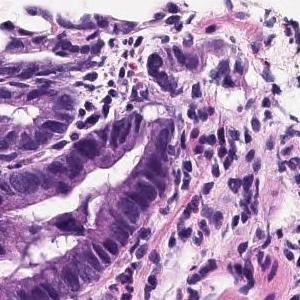
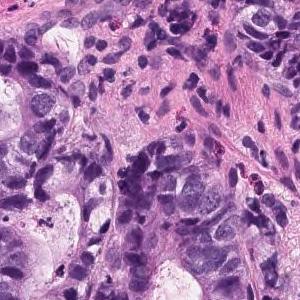
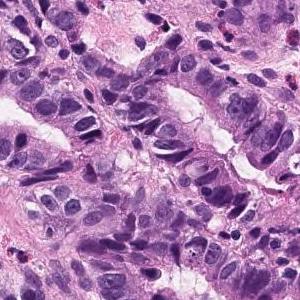
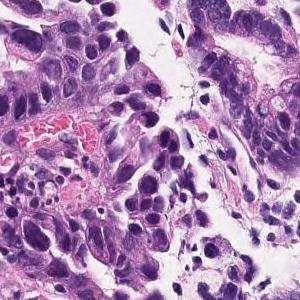
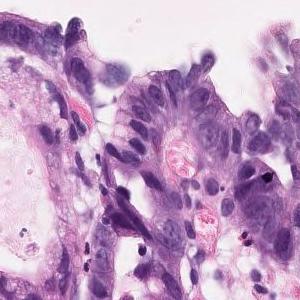
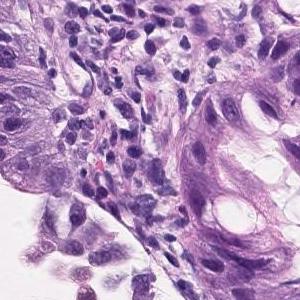
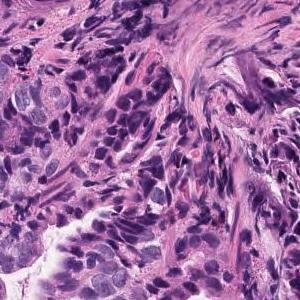
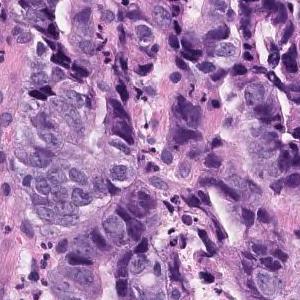
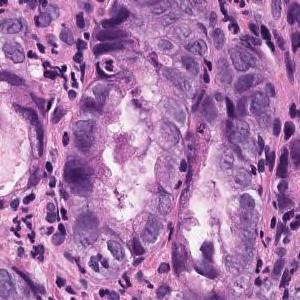
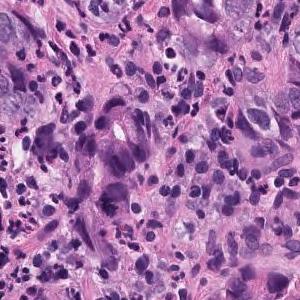
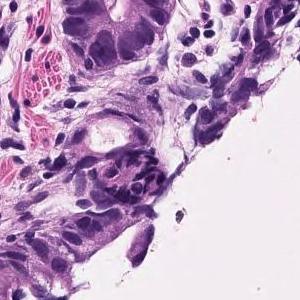
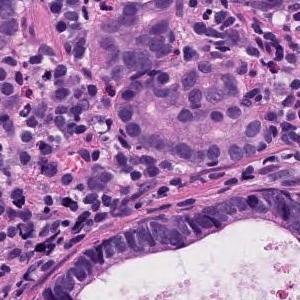
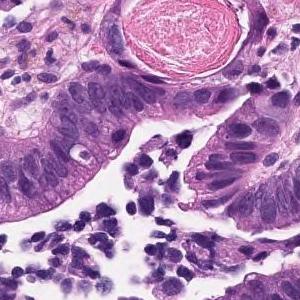
Hematoxylin and eosin stain, 13 tiles from the same stomach biopsy slide.
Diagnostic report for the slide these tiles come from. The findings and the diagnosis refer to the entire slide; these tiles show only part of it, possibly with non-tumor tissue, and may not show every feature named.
The swollen atypical epithelium of the nucleus forms an irregular ductal structure and proliferates. moderately differentiated tubular adenocarcinoma
